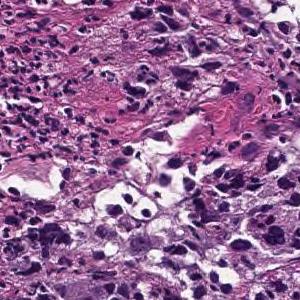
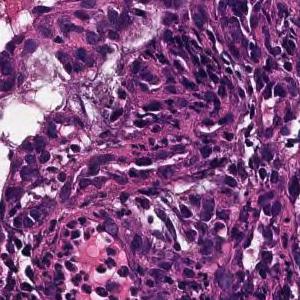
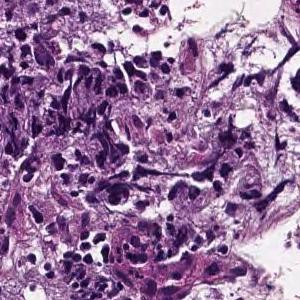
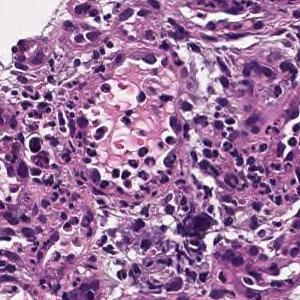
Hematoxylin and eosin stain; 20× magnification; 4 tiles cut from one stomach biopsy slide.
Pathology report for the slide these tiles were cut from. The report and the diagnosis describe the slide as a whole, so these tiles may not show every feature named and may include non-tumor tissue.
The superficial epithelium shows a large sheet-like shape, and some tumor tissue infiltrates with small irregular ducts. Poorly differentiated adenocarcinoma, solid-type
Subtype: Poorly differentiated adenocarcinoma, solid type. This name comes from the Japanese Classification of Gastric Carcinoma; the WHO 2019 classification calls it tubular adenocarcinoma, poorly differentiated.
